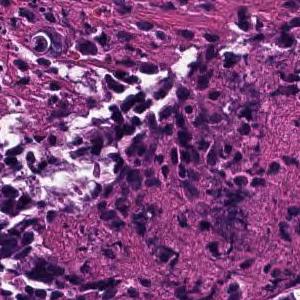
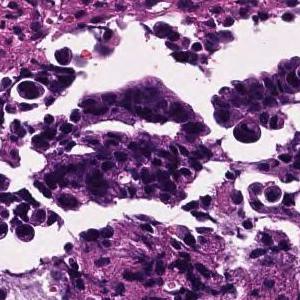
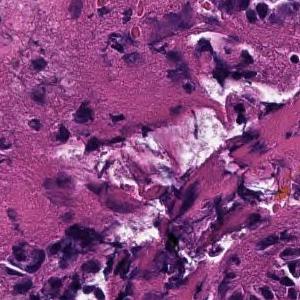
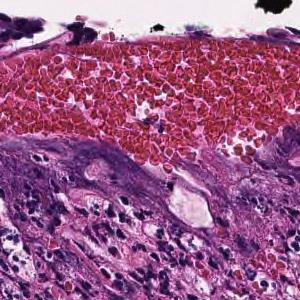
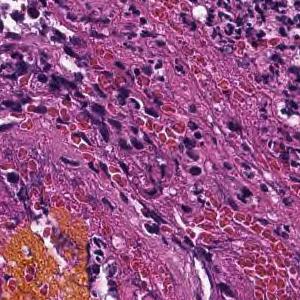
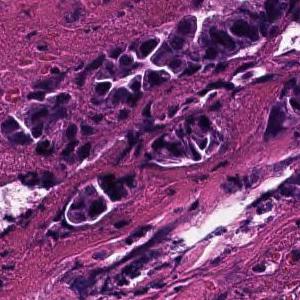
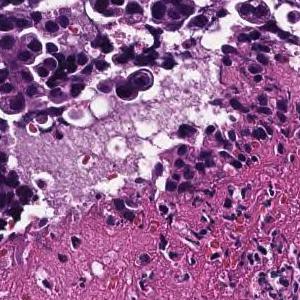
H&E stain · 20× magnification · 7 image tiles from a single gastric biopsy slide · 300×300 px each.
Pathology report for the biopsy slide these tiles were cut from. What the report and the diagnosis say applies to the whole slide; these tiles may miss some of the features named and may include tissue that is not tumor.
Tumor tissue consisting of cord-like or small, irregular glandular ducts fused and infiltrated is observed in the superficial epithelium. Poorly differentiated adenocarcinoma, non-solid type
The term "non-solid type" comes from the Japanese Classification of Gastric Carcinoma.
